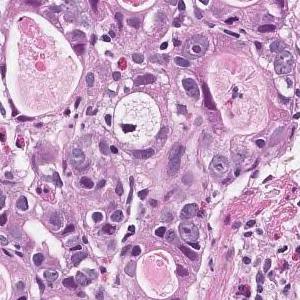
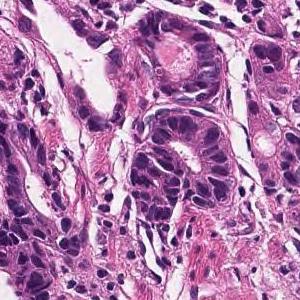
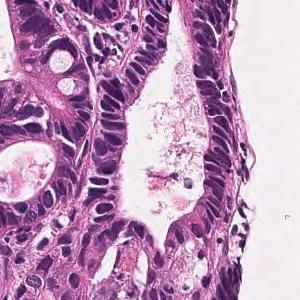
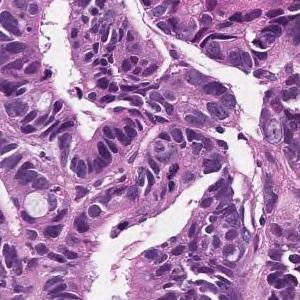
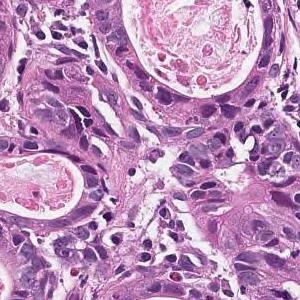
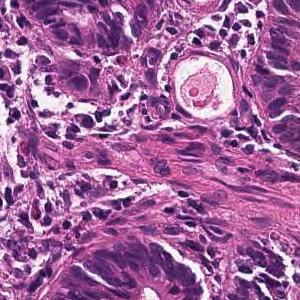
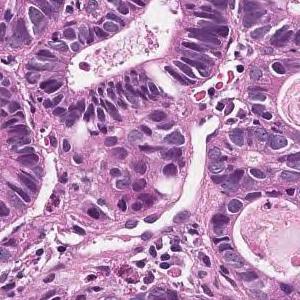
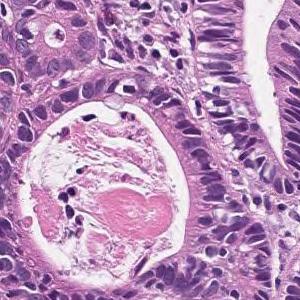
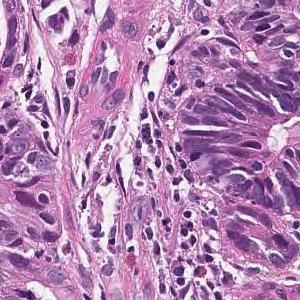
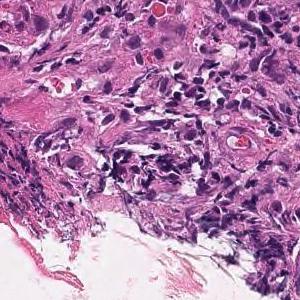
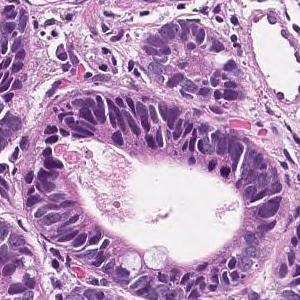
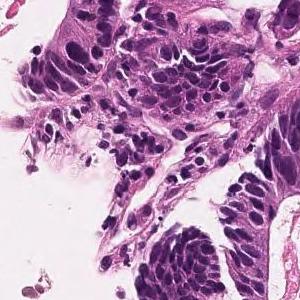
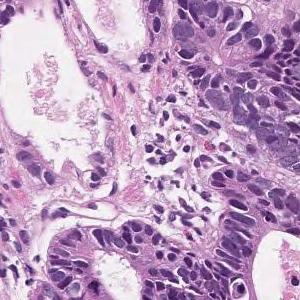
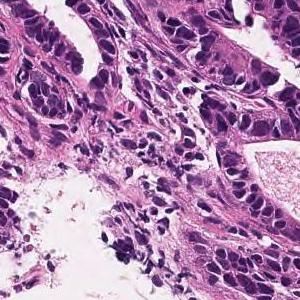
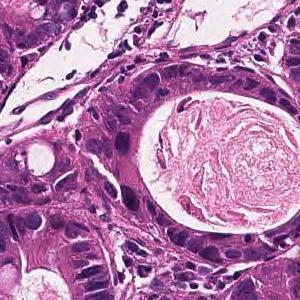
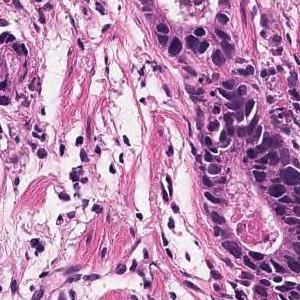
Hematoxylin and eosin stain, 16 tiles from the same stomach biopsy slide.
Report on the slide these tiles come from. The findings and the diagnosis refer to the entire slide; these tiles show only part of it, possibly with non-tumor tissue, and may not show every feature named.
In the superficial epithelium, tumor tissue that invades by forming medium-sized to small, irregular ducts is observed. Well differentiated tubular adenocarcinoma.
